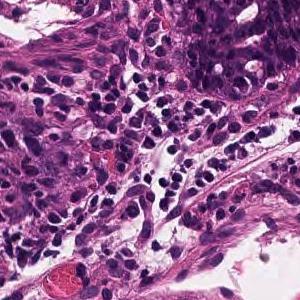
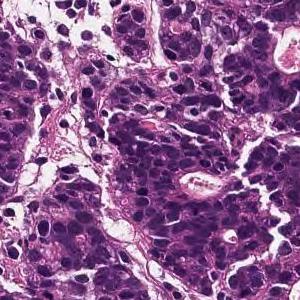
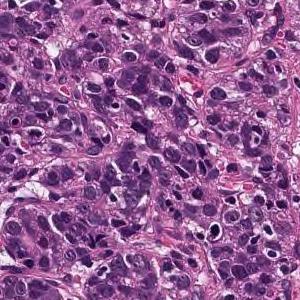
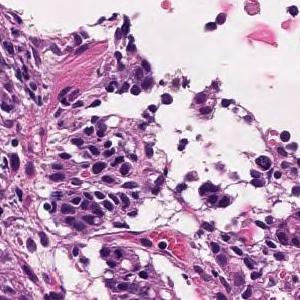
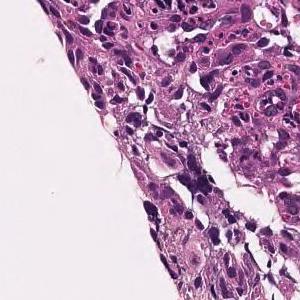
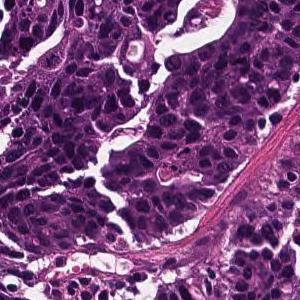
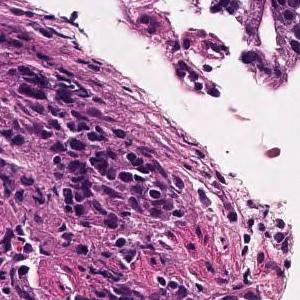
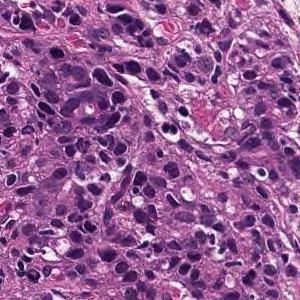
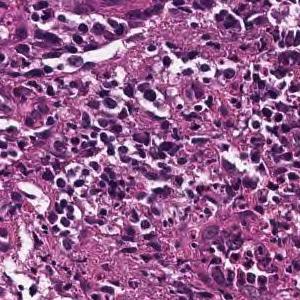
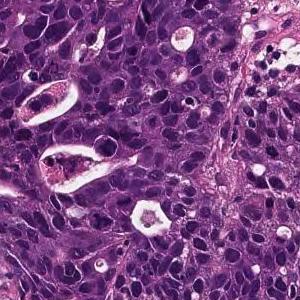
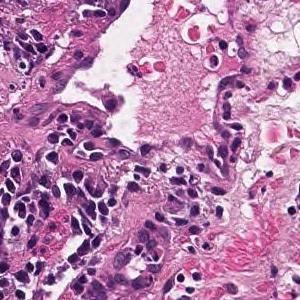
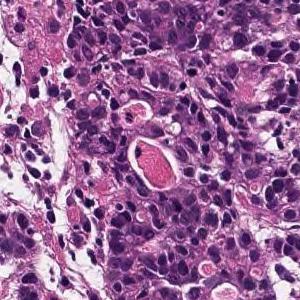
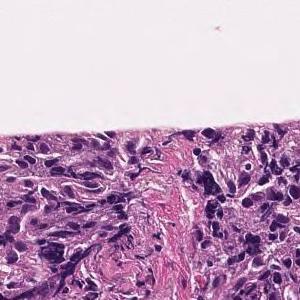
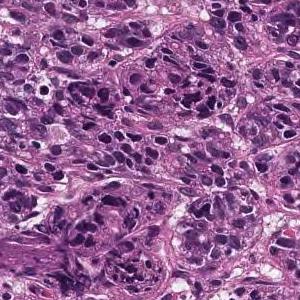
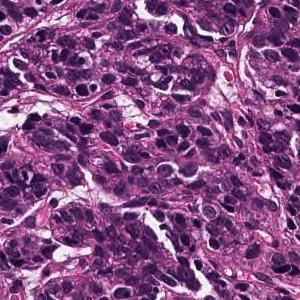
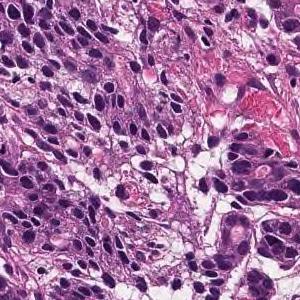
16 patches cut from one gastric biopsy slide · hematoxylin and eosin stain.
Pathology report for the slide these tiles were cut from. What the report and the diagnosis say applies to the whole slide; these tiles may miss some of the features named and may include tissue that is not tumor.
Medium to small, irregular glandular ducts are formed in the superficial epithelium, and in some cases, the glandular ducts are fused to show solid alveolar lesions and infiltrating tumor tissue is observed. Moderately to poorly differentiated adenocarcinoma.
